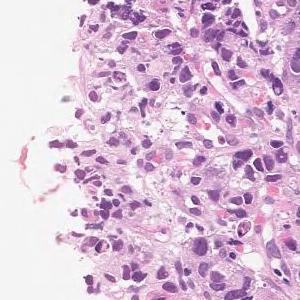
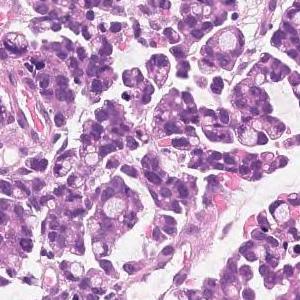
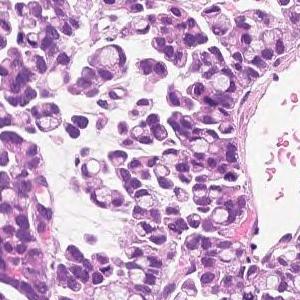
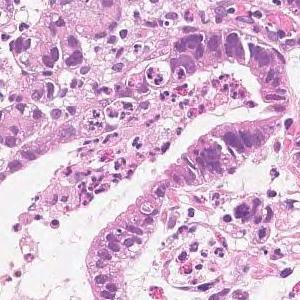
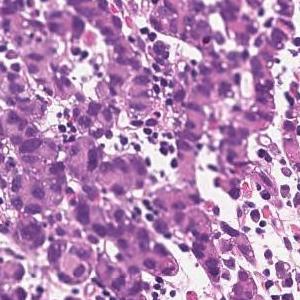
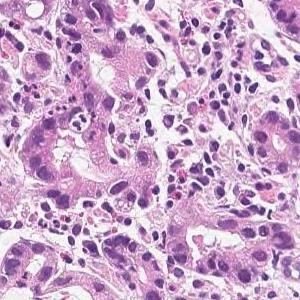
6 patches cut from one gastric biopsy slide · scanned at ×20 · H&E stain.
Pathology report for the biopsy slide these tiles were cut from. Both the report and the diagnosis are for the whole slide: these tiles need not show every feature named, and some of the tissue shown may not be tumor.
Medium to small, irregular glandular ducts are formed in the superficial epithelium, and in some cases, the glandular ducts are fused to show solid alveolar lesions and infiltrating tumor tissue is observed. Moderately to poorly differentiated adenocarcinoma.
